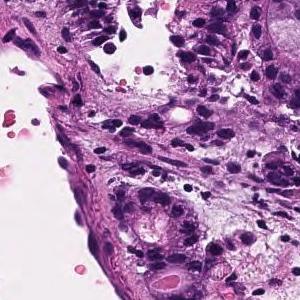
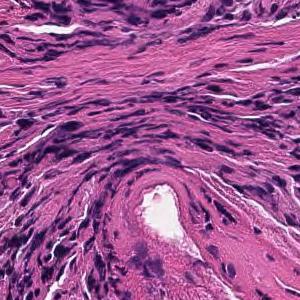
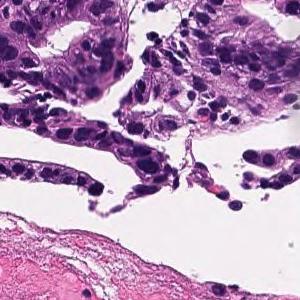
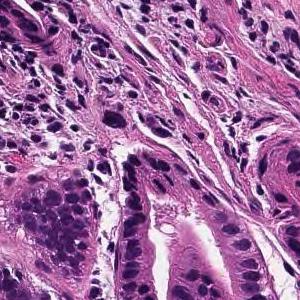
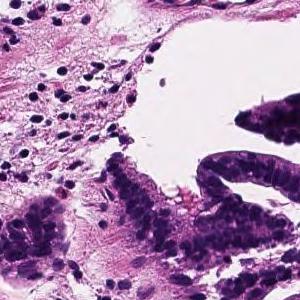
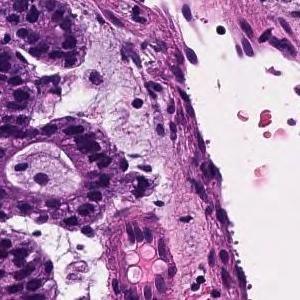
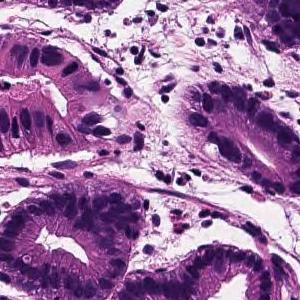
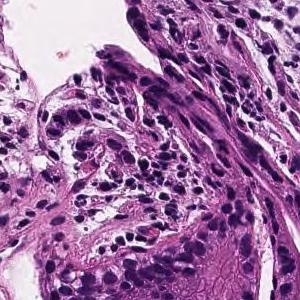
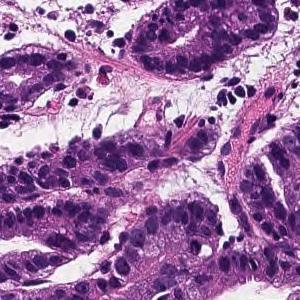
20× magnification · H&E · 9 tiles from the same stomach biopsy slide · each 300 × 300 pixels.
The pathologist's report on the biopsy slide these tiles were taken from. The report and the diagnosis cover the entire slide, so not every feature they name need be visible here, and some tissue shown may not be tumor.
From the superficial epithelium to the muscularis mucosae, tumor tissue consisting of medium-sized and irregular glandular ducts infiltrating is observed. Well differentiated tubular adenocarcinoma
